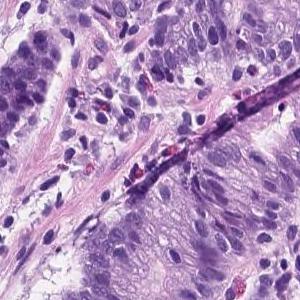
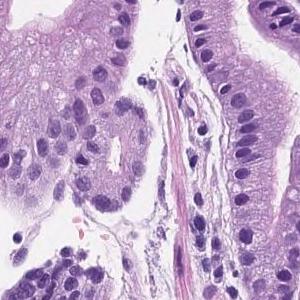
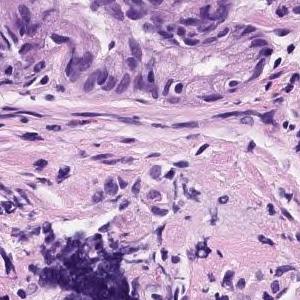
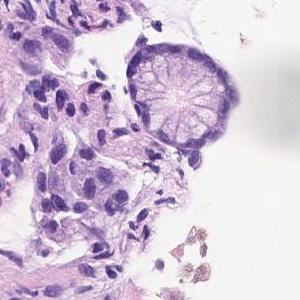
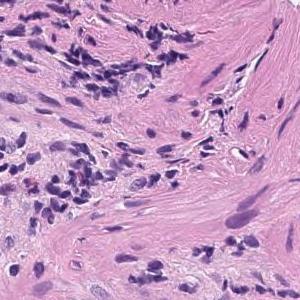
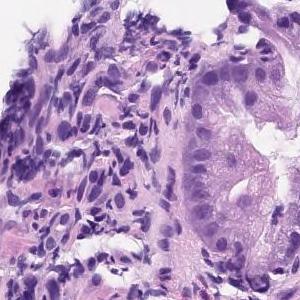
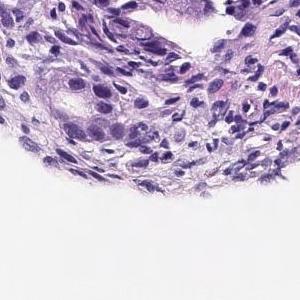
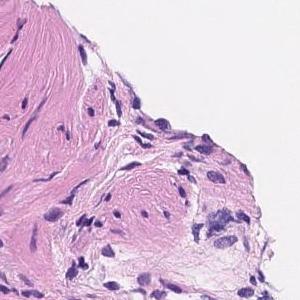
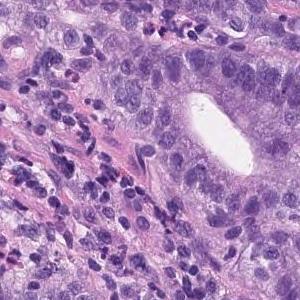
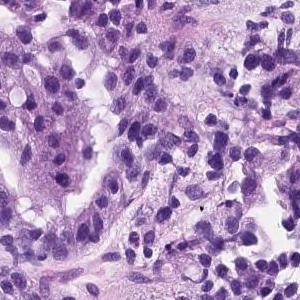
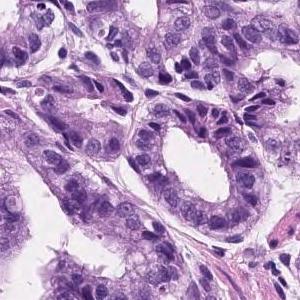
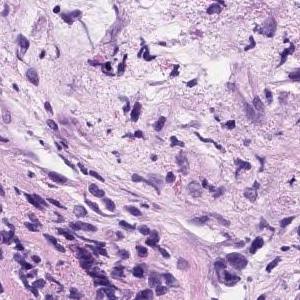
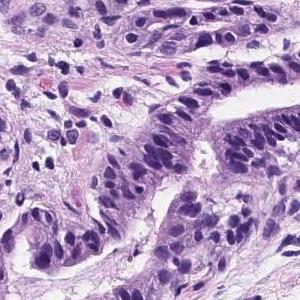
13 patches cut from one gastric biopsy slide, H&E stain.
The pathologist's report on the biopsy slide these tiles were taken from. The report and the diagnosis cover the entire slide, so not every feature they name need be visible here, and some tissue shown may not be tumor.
Tumor tissue consisting of medium-sized and irregular ducts is observed infiltrating in the superficial epithelium. Tumor cells are highly columnar, with nuclei aligned basolaterally and polarized. Well differentiated tubular adenocarcinoma.
